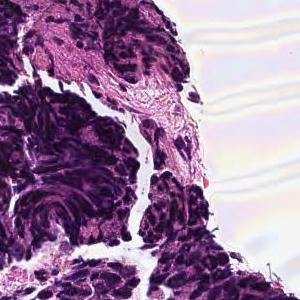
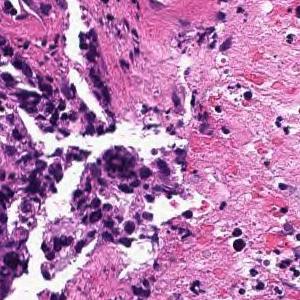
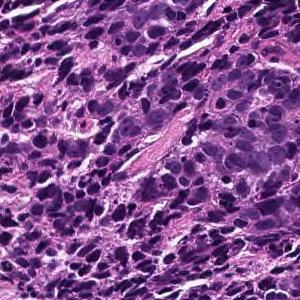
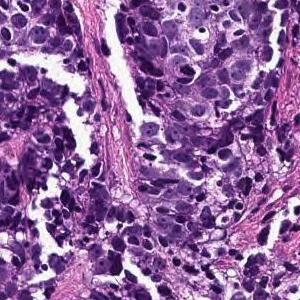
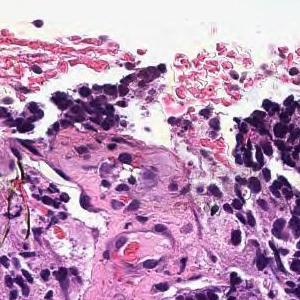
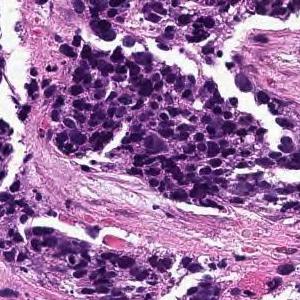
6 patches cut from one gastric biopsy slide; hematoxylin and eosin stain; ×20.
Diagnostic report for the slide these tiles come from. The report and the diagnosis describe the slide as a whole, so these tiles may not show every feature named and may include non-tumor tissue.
The superficial epithelium shows a large sheet or alveolar shape, and tumor tissue infiltrating without irregular ducts is observed. Poorly differentiated adenocarcinoma, solid-type
Histologic type: Poorly differentiated adenocarcinoma, solid type, a category of the Japanese Classification of Gastric Carcinoma; in the WHO 2019 classification it is tubular adenocarcinoma, poorly differentiated.
